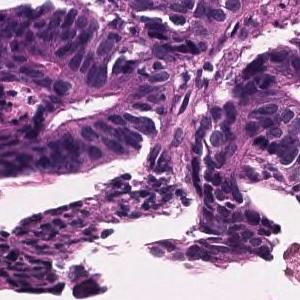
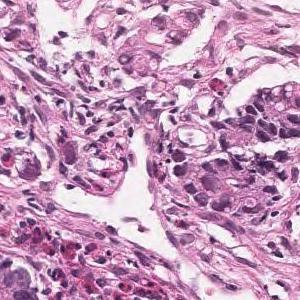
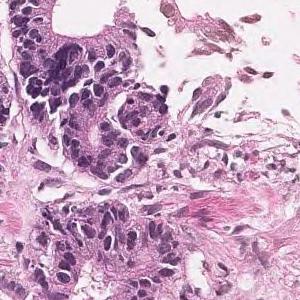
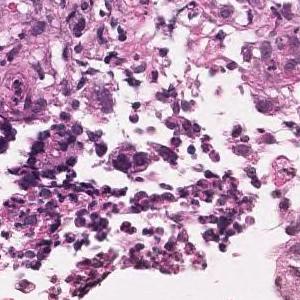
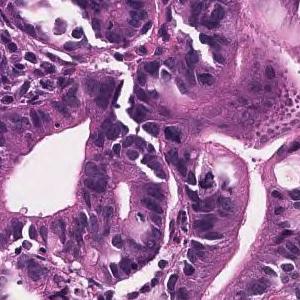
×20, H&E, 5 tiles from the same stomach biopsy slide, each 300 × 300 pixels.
Report on the slide these tiles come from. The findings and the diagnosis refer to the entire slide; these tiles show only part of it, possibly with non-tumor tissue, and may not show every feature named.
In the superficial epithelium, tumor tissue is found in which medium-sized irregular gland ducts fuse with each other and infiltrate. moderately differentiated tubular adenocarcinoma
